15 tiles cut from one stomach biopsy slide · ×20 · H&E stain.
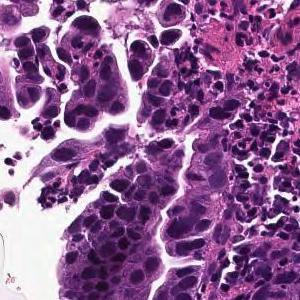
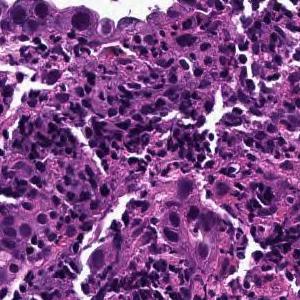
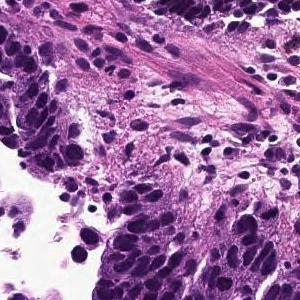
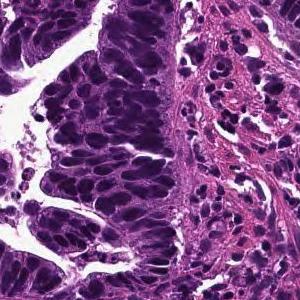
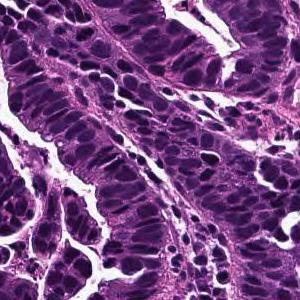
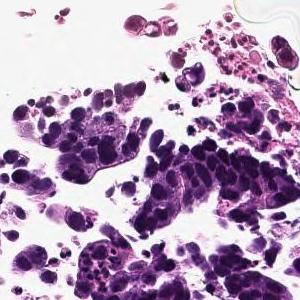
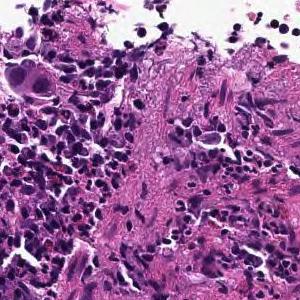
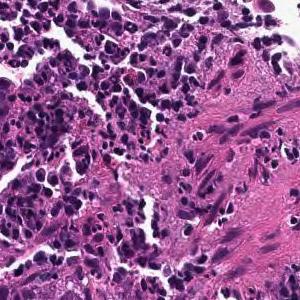
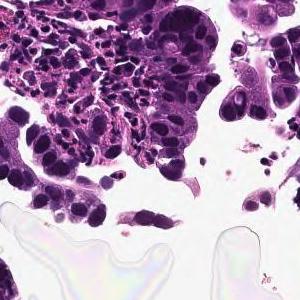
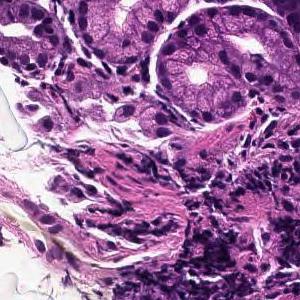
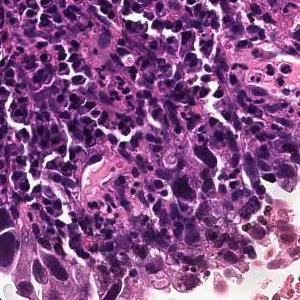
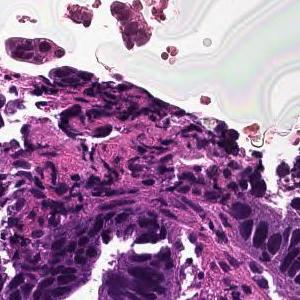
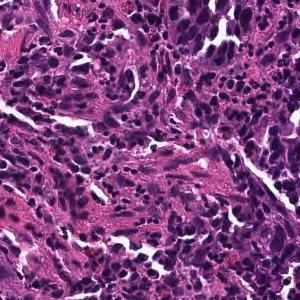
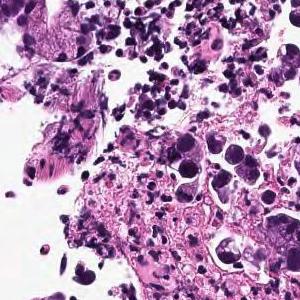
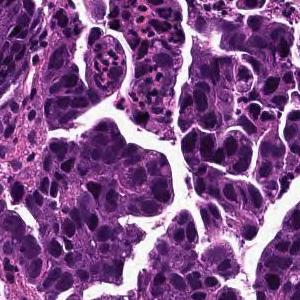
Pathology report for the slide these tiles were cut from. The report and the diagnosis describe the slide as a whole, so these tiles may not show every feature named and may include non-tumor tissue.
Tumor cells are large, highly columnar, large club-shaped nuclei, and are associated with chromatin aggregation. Papillary adenocarcinoma.
